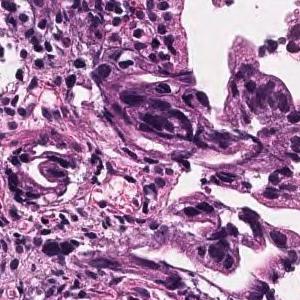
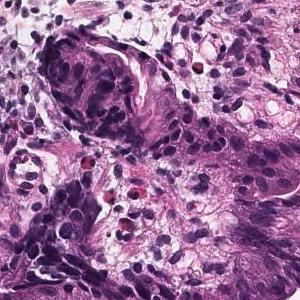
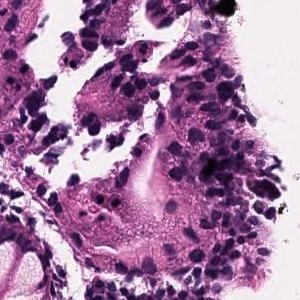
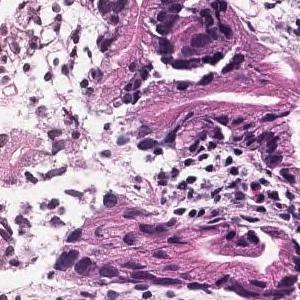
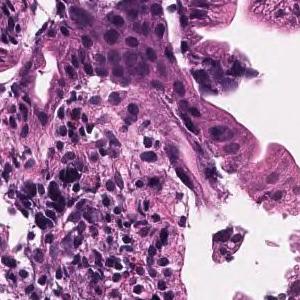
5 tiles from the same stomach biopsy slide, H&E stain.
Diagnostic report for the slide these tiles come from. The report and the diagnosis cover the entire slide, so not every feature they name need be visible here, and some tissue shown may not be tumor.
Tumor tissue that grows by forming large to medium-sized, irregular glandular ducts is found in the superficial epithelium. Well differentiated tubular adenocarcinoma
